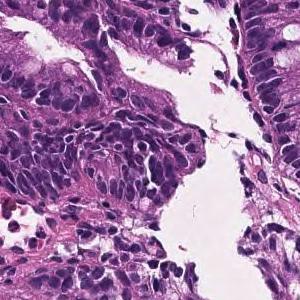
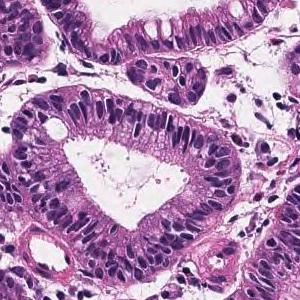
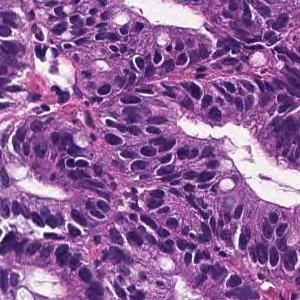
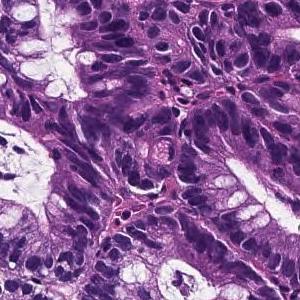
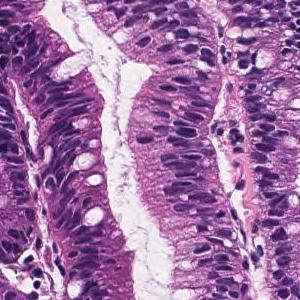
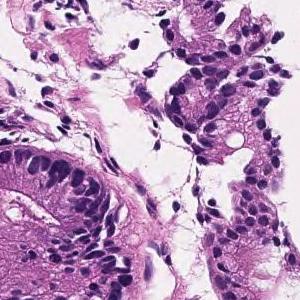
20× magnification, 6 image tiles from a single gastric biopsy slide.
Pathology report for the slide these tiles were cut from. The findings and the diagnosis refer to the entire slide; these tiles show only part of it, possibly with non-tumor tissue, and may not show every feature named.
Most remain in the superficial epithelium, forming medium-sized papillary or small irregular ducts and proliferating, and some tumor tissue invades the muscularis mucosae. Papillary adenocarcinoma
